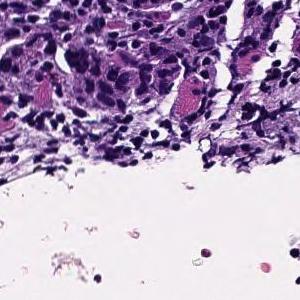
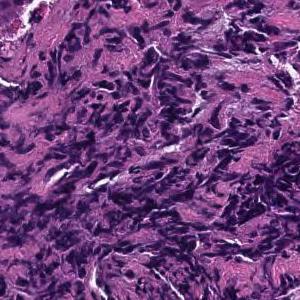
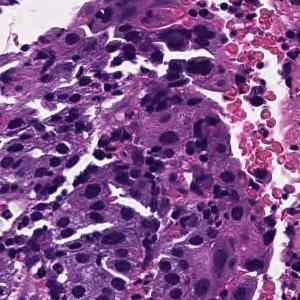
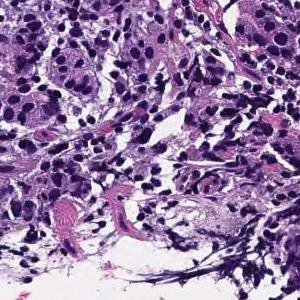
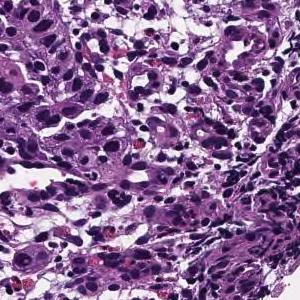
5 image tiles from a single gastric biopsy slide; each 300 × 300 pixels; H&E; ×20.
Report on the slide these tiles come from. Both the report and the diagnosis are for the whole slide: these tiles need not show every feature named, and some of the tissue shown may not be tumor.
Tumor tissue consisting of cord-like or small, irregular glandular ducts fused and infiltrated is observed in the superficial epithelium. Poorly differentiated adenocarcinoma, non-solid type
The non-solid type named here is a Japanese Classification of Gastric Carcinoma category.
